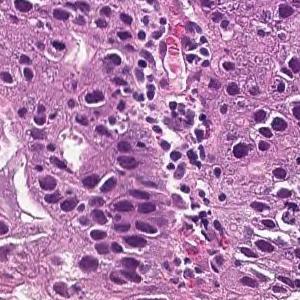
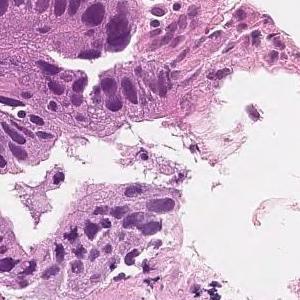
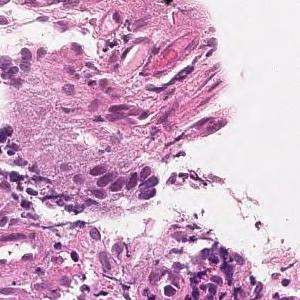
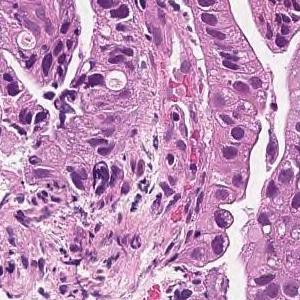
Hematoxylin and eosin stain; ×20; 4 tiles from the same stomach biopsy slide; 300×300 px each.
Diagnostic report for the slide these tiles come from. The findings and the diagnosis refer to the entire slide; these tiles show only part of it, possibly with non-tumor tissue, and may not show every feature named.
In the superficial epithelium, tumor tissue that invades by forming medium-sized to small, irregular ducts is observed. moderately differentiated tubular adenocarcinoma.
